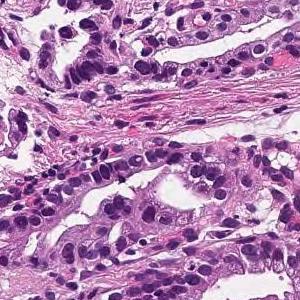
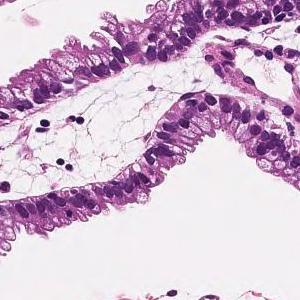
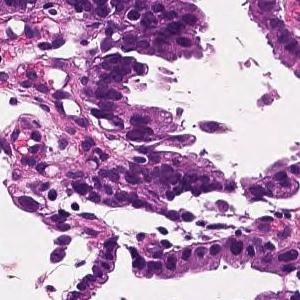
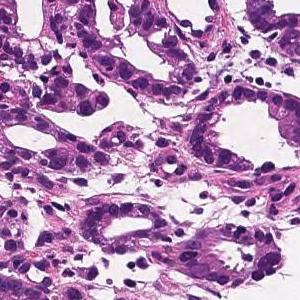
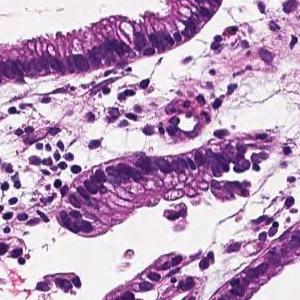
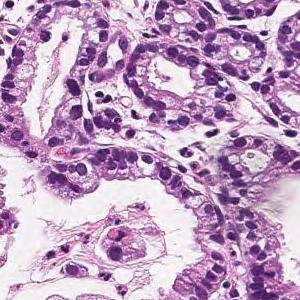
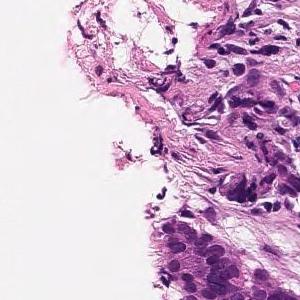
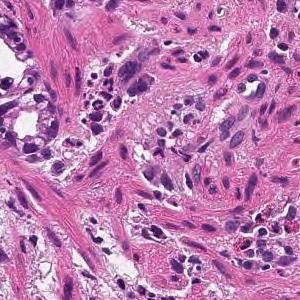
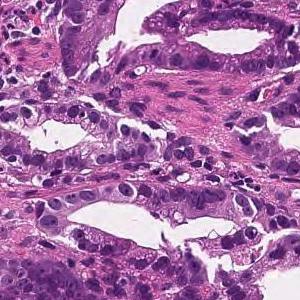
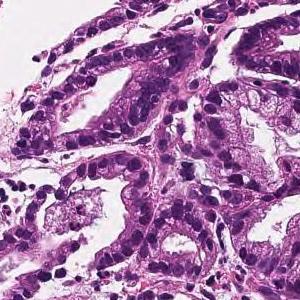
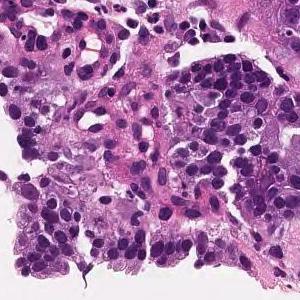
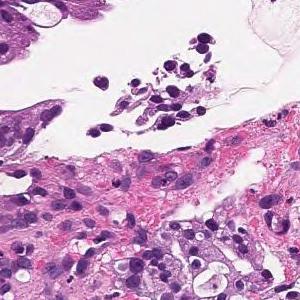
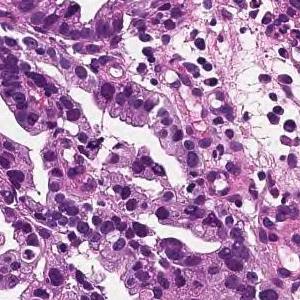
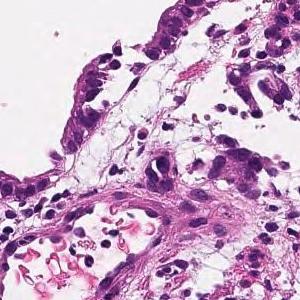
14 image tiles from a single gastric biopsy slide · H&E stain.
Report on the slide these tiles come from. Both the report and the diagnosis are for the whole slide: these tiles need not show every feature named, and some of the tissue shown may not be tumor.
On the superficial epithelium, tumor tissue that infiltrates by forming medium-sized papillary or small irregular ducts is observed. Papillary adenocarcinoma
